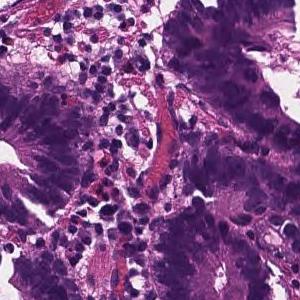
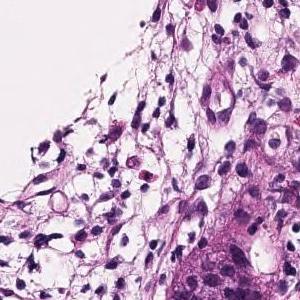
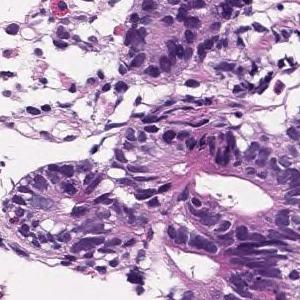
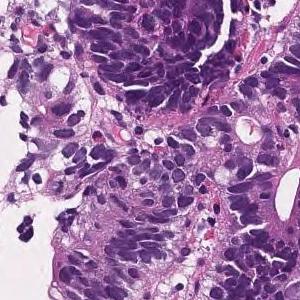
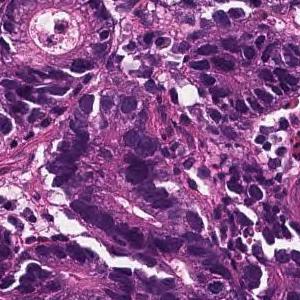
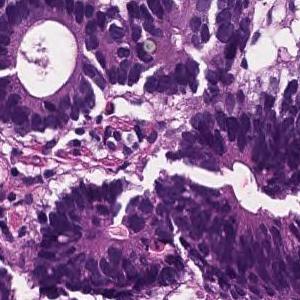
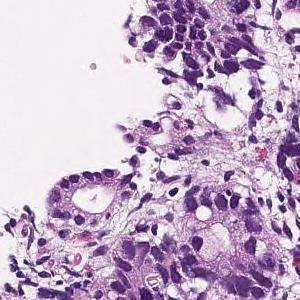
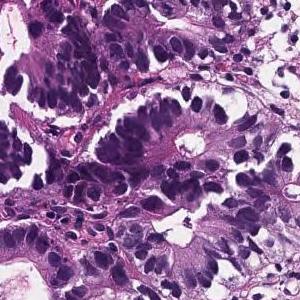
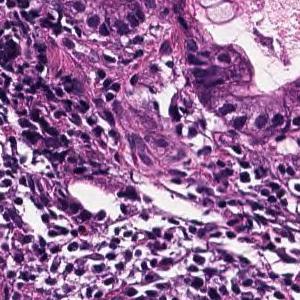
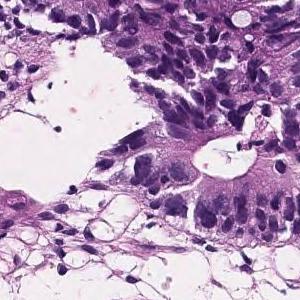
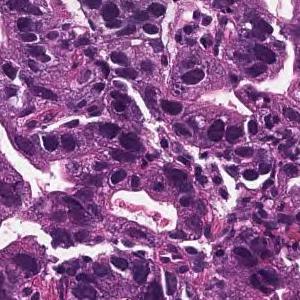
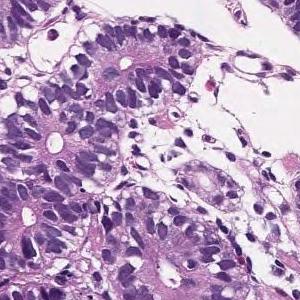
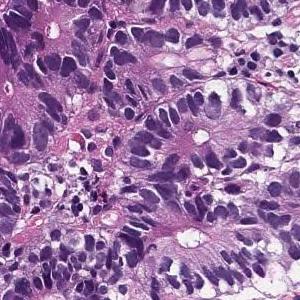
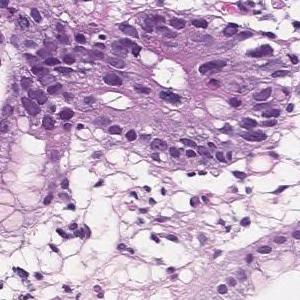
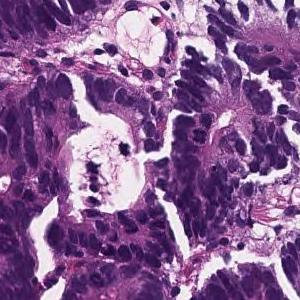
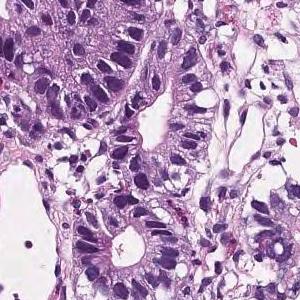
H&E stain · scanned at ×20 · 16 image tiles from a single gastric biopsy slide.
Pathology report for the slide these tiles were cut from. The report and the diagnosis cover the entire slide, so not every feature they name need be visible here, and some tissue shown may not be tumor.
On the superficial epithelium, tumor tissue consisting of large, irregular glandular ducts partially fused and infiltrated is observed. Well to moderately differentiated tubular adenocarcinoma (well differentiated tubular adenocarcinoma, moderately differentiated tubular adenocarcinoma)
Tumor subtype: well to moderately differentiated tubular adenocarcinoma.
